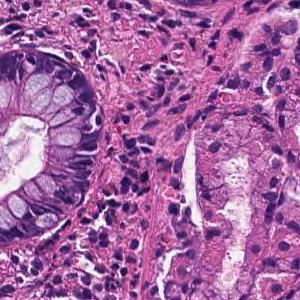
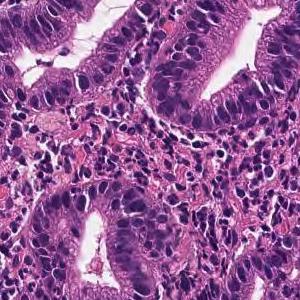
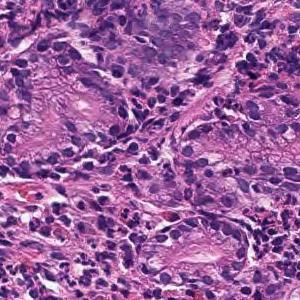
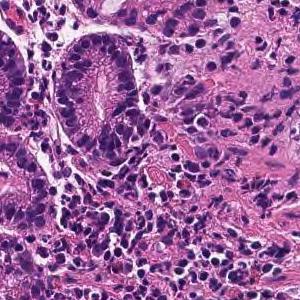
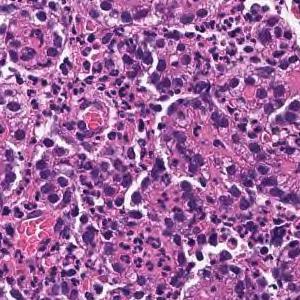
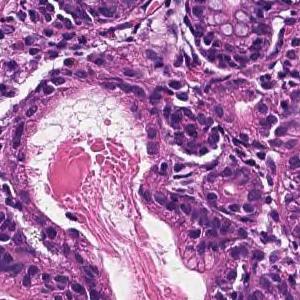
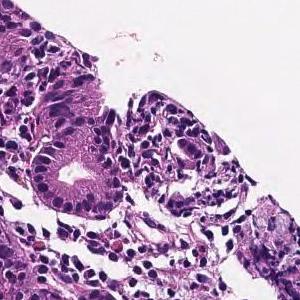
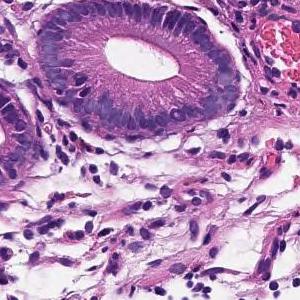
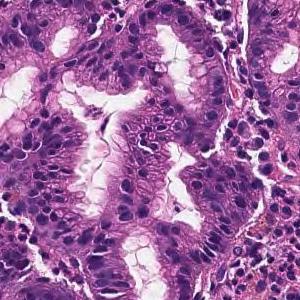
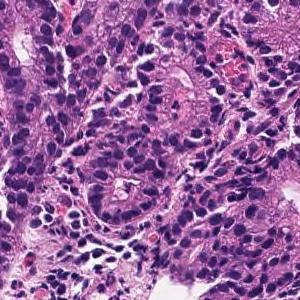
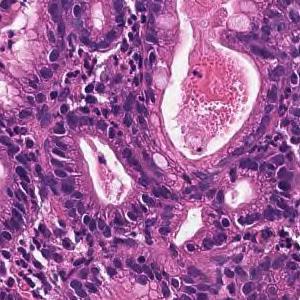
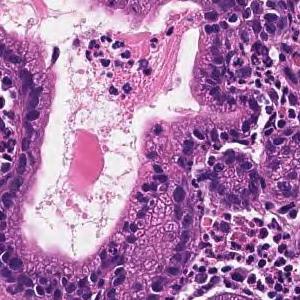
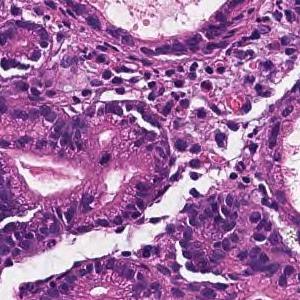
H&E; ×20; 13 patches cut from one gastric biopsy slide; each 300 × 300 pixels.
The pathologist's report on the biopsy slide these tiles were taken from. What the report and the diagnosis say applies to the whole slide; these tiles may miss some of the features named and may include tissue that is not tumor.
Tumor tissue infiltrated and proliferated with small to medium-sized irregular tubules is observed in the superficial epithelium. Well differentiated tubular adenocarcinoma
